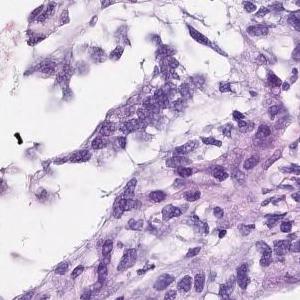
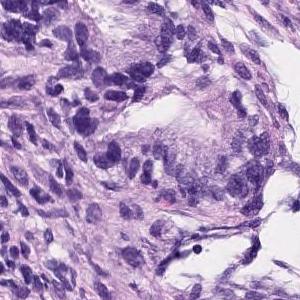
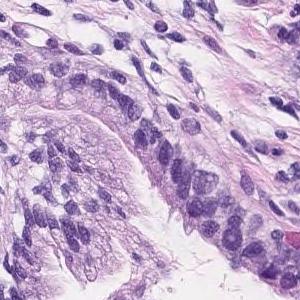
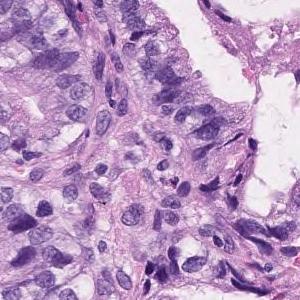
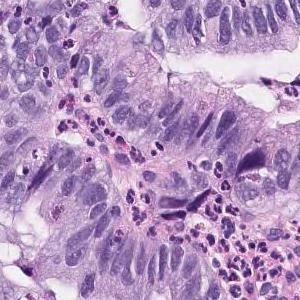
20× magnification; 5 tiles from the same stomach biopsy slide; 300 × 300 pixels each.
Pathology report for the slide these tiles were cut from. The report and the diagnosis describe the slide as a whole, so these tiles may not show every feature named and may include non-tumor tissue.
Tumor cells are large, highly columnar, large club-shaped nuclei, and are associated with chromatin aggregation. Papillary adenocarcinoma.
